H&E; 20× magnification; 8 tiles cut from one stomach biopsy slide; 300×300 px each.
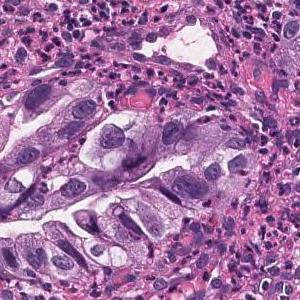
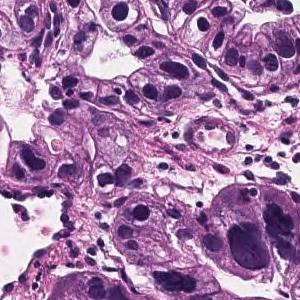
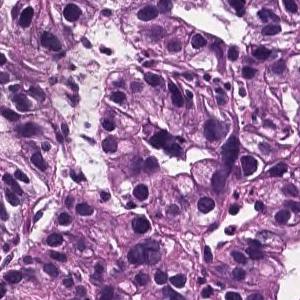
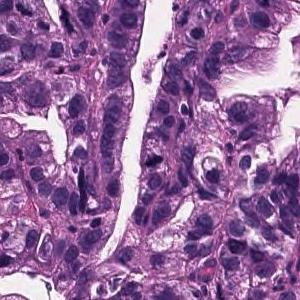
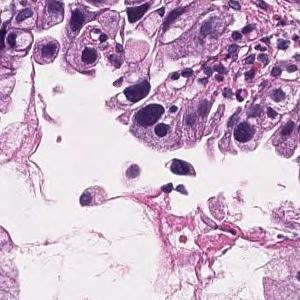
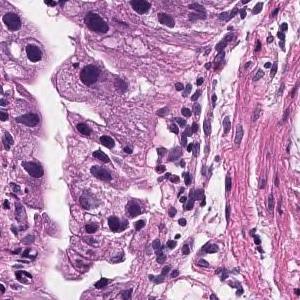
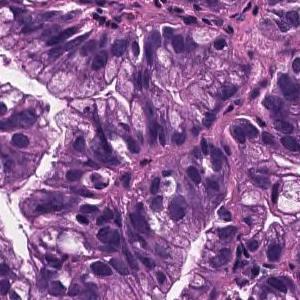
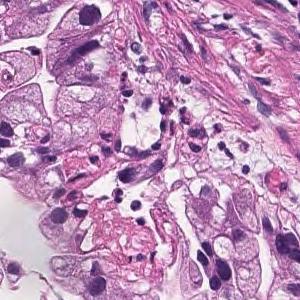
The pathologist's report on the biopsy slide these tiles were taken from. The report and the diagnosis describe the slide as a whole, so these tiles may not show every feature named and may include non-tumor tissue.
Tumor cells are large, highly columnar, large club-shaped nuclei, and are associated with chromatin aggregation. Papillary adenocarcinoma.
